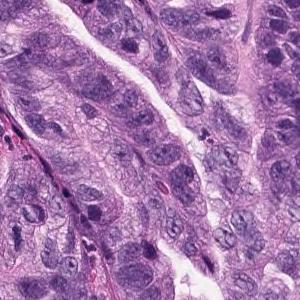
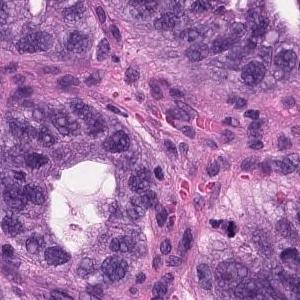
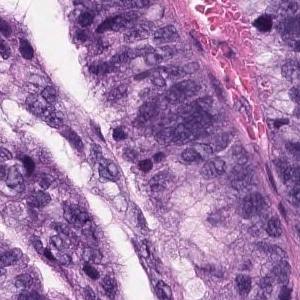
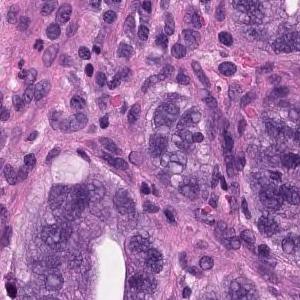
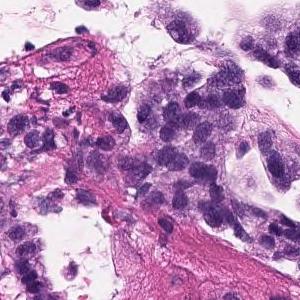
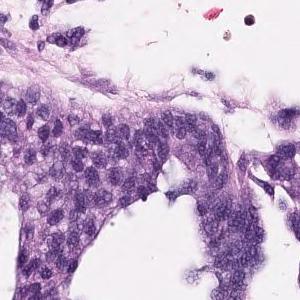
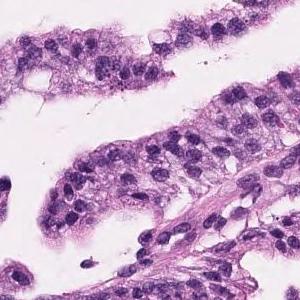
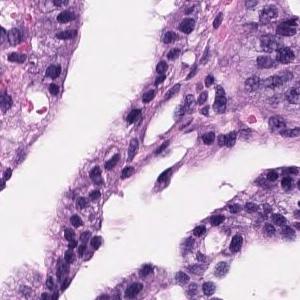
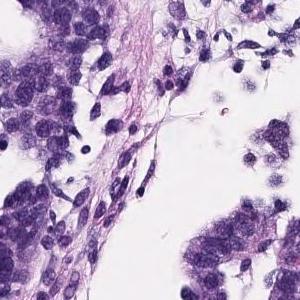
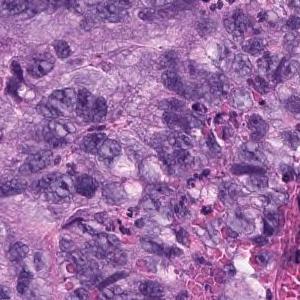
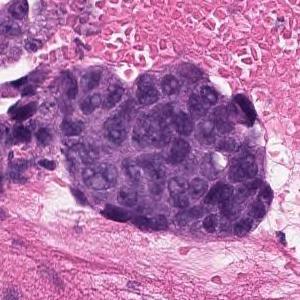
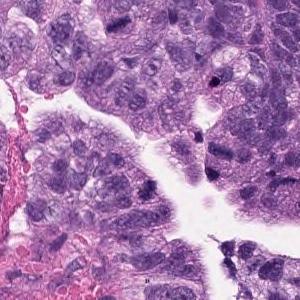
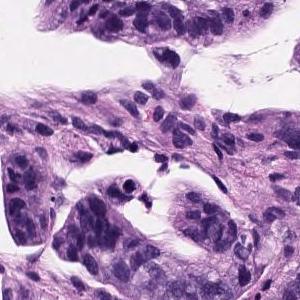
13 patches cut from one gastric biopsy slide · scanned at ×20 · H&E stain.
Pathology report for the biopsy slide these tiles were cut from. The report describes the whole slide, diagnosis included: not every finding it names need appear in these tiles, which may also show non-tumor tissue.
Tumor cells are large, highly columnar, large club-shaped nuclei, and are associated with chromatin aggregation. Papillary adenocarcinoma.
